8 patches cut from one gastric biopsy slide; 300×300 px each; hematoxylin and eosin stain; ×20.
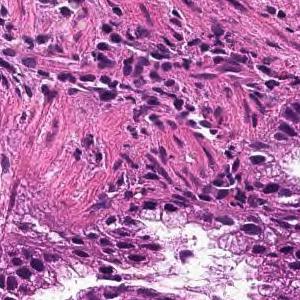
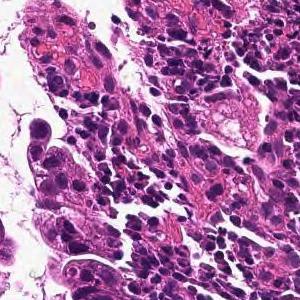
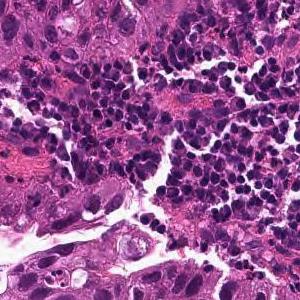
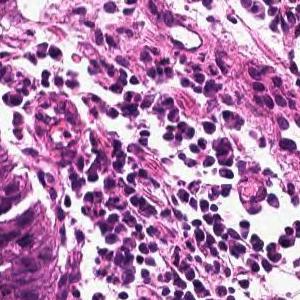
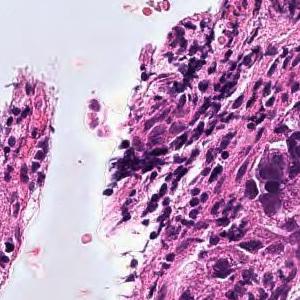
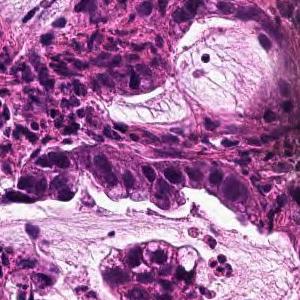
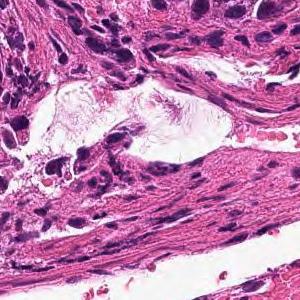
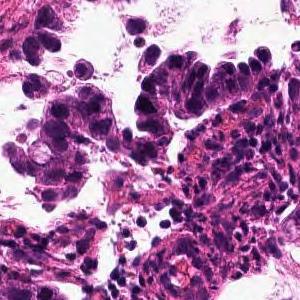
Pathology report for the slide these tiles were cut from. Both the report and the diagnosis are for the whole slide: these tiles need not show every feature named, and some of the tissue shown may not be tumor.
From the superficial epithelium to the muscularis mucosae, tumor tissue infiltrating by forming medium-sized irregular gland ducts is observed. Well differentiated tubular adenocarcinoma
